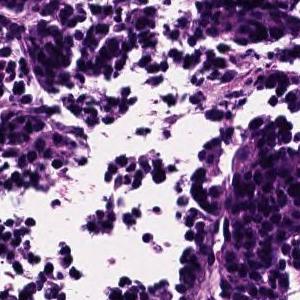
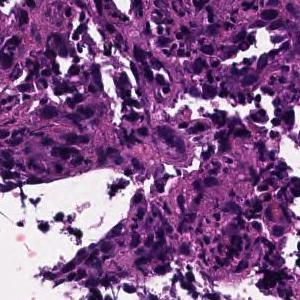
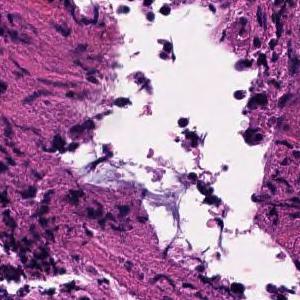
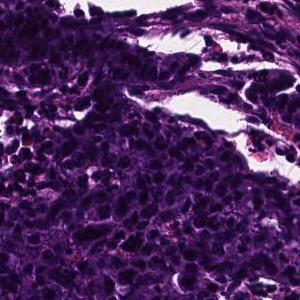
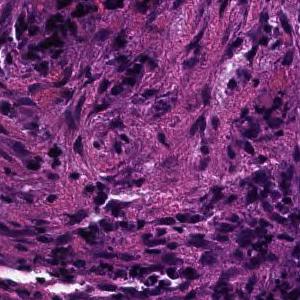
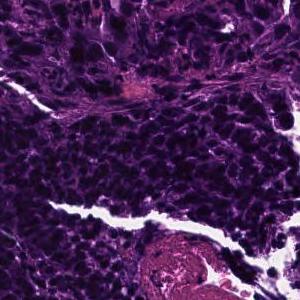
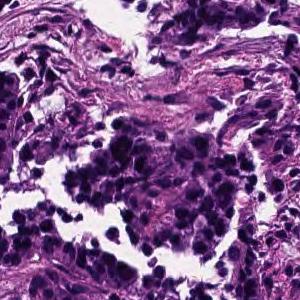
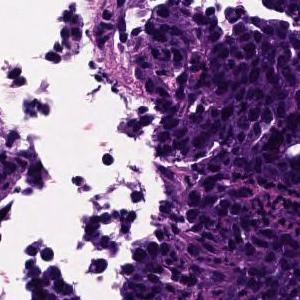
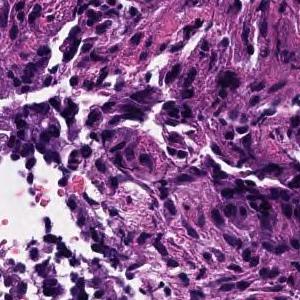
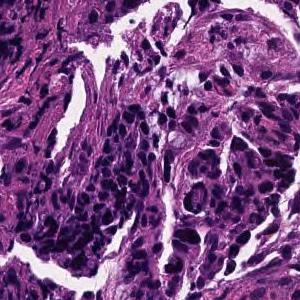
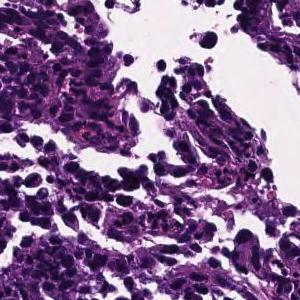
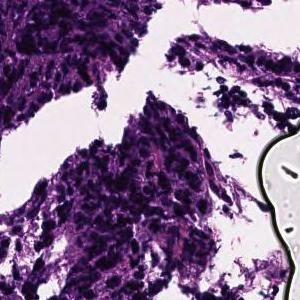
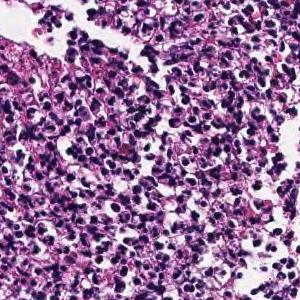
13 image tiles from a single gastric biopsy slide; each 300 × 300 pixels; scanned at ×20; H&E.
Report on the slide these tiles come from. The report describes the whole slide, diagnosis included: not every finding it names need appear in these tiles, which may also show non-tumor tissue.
In the superficial epithelium, tumor tissue that invades by forming medium-sized to small, irregular ducts is observed. moderately differentiated tubular adenocarcinoma.
